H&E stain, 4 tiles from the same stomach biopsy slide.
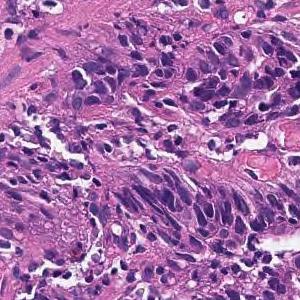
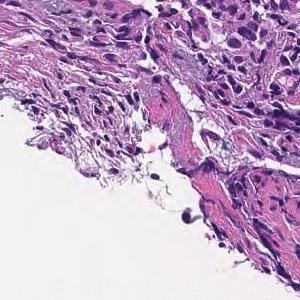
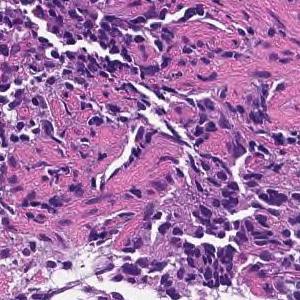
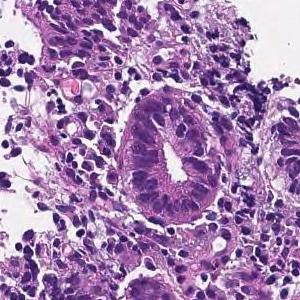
Pathology report for the slide these tiles were cut from. The report and the diagnosis cover the entire slide, so not every feature they name need be visible here, and some tissue shown may not be tumor.
On the superficial epithelium, tumor tissue consisting of large, irregular glandular ducts partially fused and infiltrated is observed. Well to moderately differentiated tubular adenocarcinoma (well differentiated tubular adenocarcinoma, moderately differentiated tubular adenocarcinoma)
Histological subtype: Well to moderately differentiated tubular adenocarcinoma.
